×20; H&E; 14 tiles cut from one stomach biopsy slide.
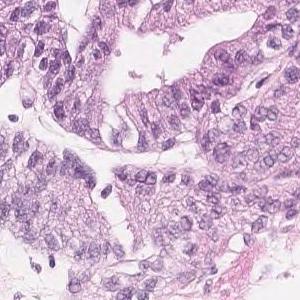
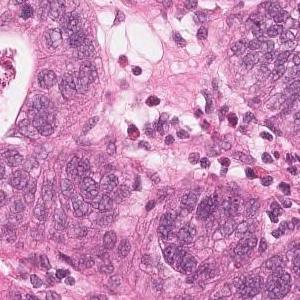
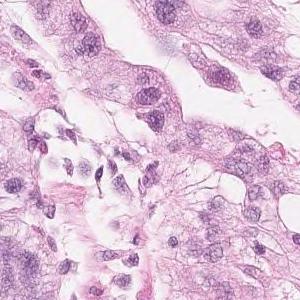
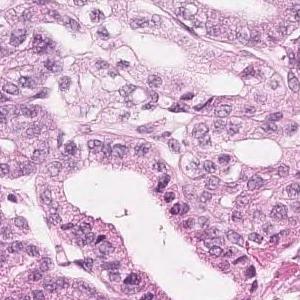
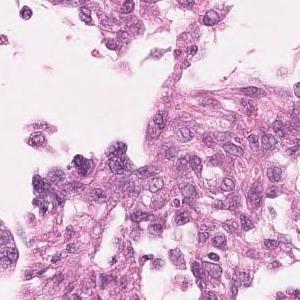
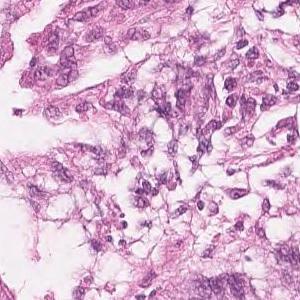
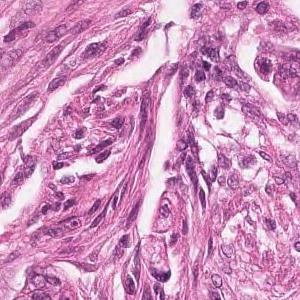
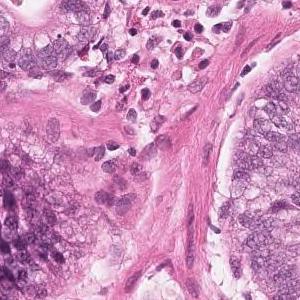
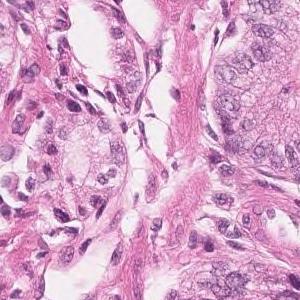
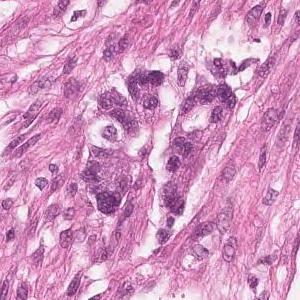
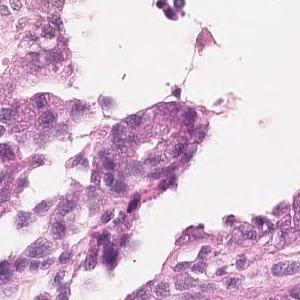
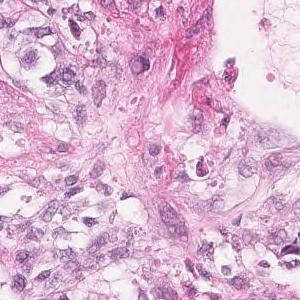
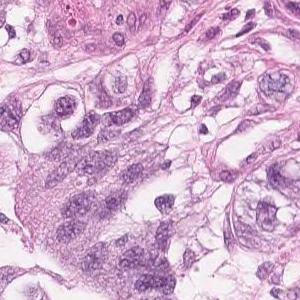
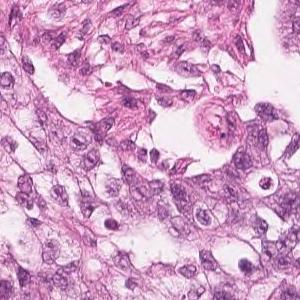
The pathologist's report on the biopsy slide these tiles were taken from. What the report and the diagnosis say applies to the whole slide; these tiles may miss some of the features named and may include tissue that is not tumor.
Highly columnar epithelium with disordered nuclear localization proliferates showing fusion ductal construction. moderately differentiated tubular adenocarcinoma
